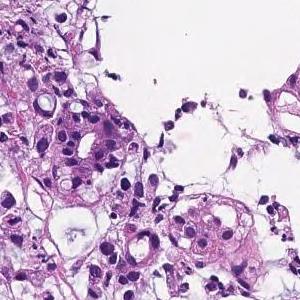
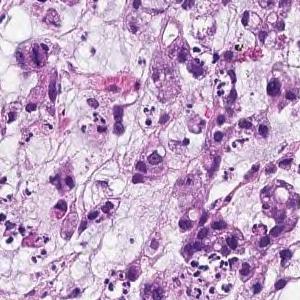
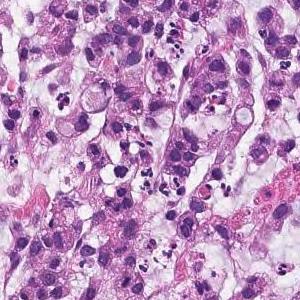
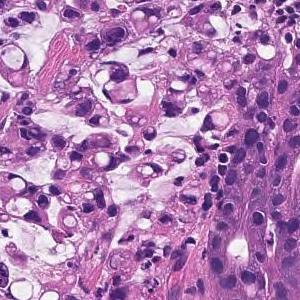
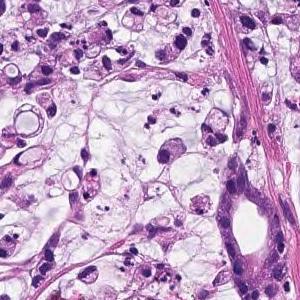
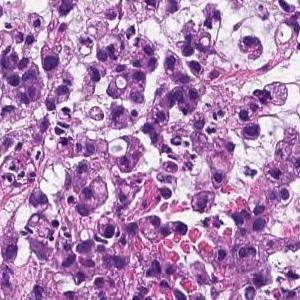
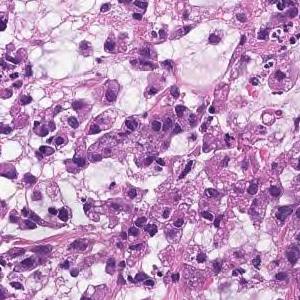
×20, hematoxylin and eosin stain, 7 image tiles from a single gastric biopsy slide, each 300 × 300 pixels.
Pathology report for the slide these tiles were cut from. Both the report and the diagnosis are for the whole slide: these tiles need not show every feature named, and some of the tissue shown may not be tumor.
Tumor tissue consisting of cord-like or small, irregular glandular ducts fused and infiltrated is observed in the superficial epithelium. Poorly differentiated adenocarcinoma, non-solid type
The term "non-solid type" comes from the Japanese Classification of Gastric Carcinoma.
